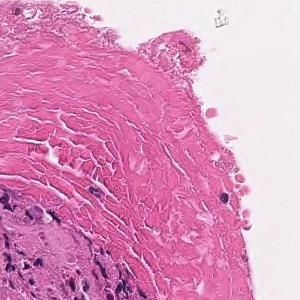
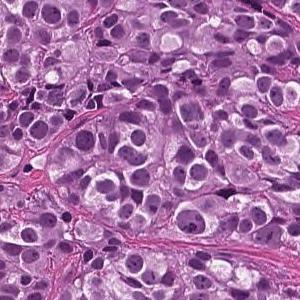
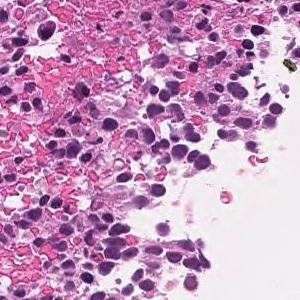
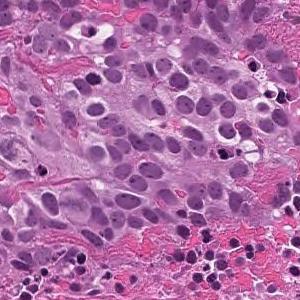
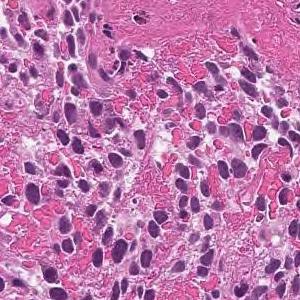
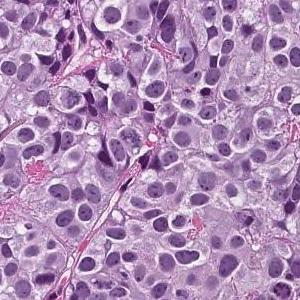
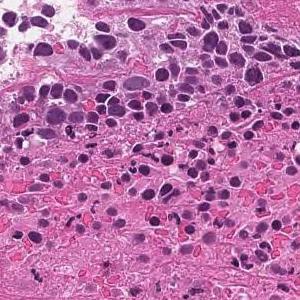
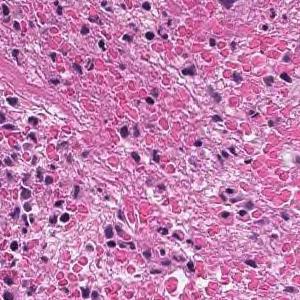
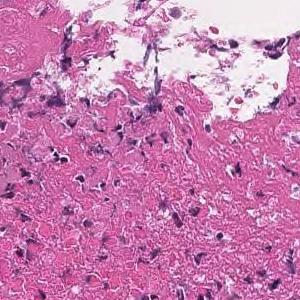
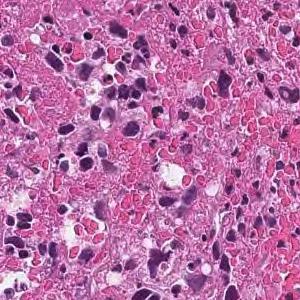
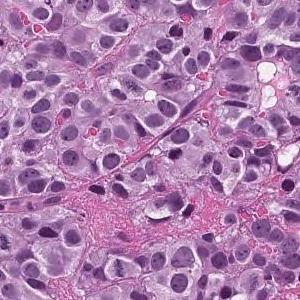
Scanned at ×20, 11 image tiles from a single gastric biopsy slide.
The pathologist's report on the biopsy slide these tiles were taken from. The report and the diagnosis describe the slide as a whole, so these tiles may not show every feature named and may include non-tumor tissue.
The superficial epithelium shows a large sheet-like shape, and some tumor tissue infiltrates with small irregular ducts. Poorly differentiated adenocarcinoma, solid-type
Subtype: Poorly differentiated adenocarcinoma, solid type (Japanese Classification of Gastric Carcinoma). The WHO 2019 equivalent is tubular adenocarcinoma, poorly differentiated.
